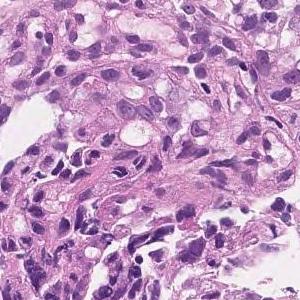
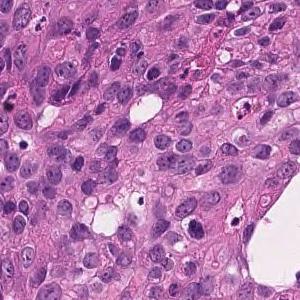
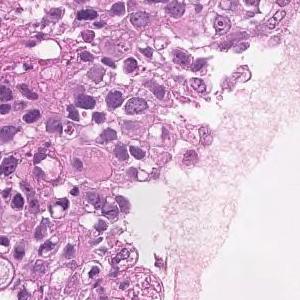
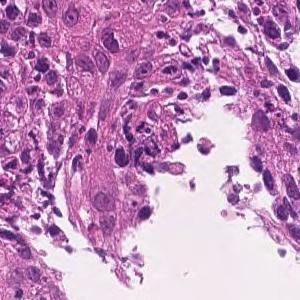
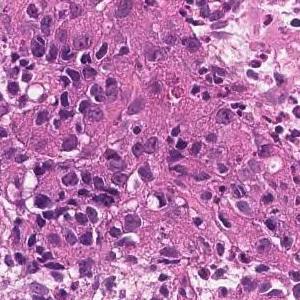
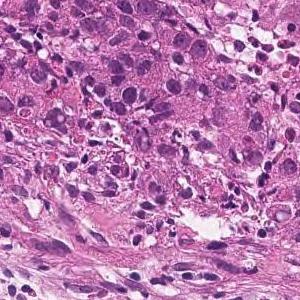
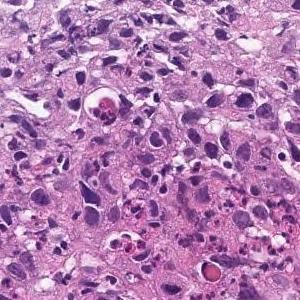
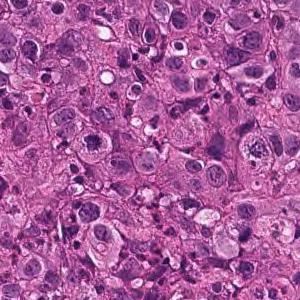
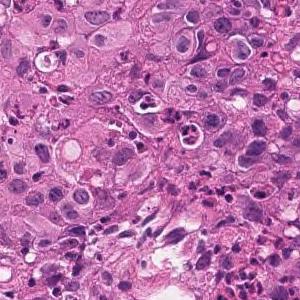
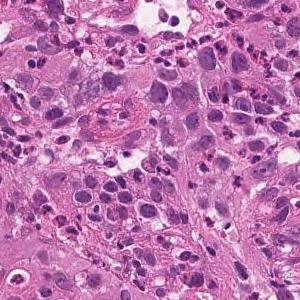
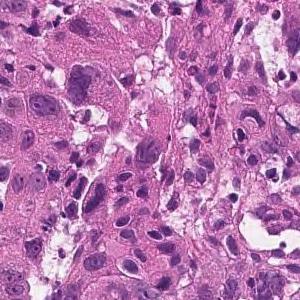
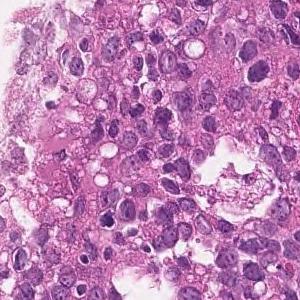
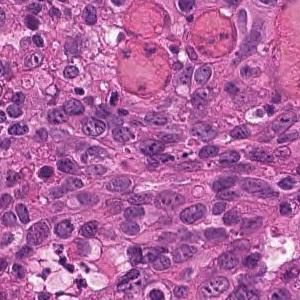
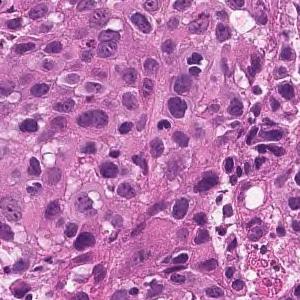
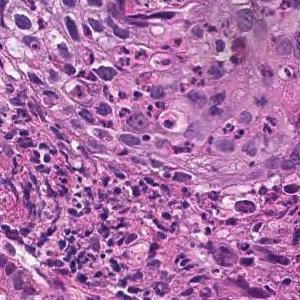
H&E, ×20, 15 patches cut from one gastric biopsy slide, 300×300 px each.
The pathologist's report on the biopsy slide these tiles were taken from. The report and the diagnosis describe the slide as a whole, so these tiles may not show every feature named and may include non-tumor tissue.
The superficial epithelium shows a large sheet-like shape, and some tumor tissue infiltrates with small irregular ducts. Poorly differentiated adenocarcinoma, solid-type
Histological subtype: Poorly differentiated adenocarcinoma, solid type. This name comes from the Japanese Classification of Gastric Carcinoma; the WHO 2019 classification calls it tubular adenocarcinoma, poorly differentiated.
